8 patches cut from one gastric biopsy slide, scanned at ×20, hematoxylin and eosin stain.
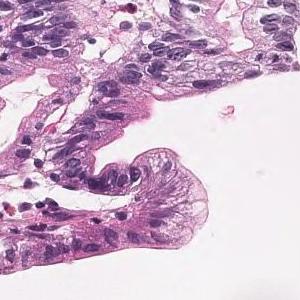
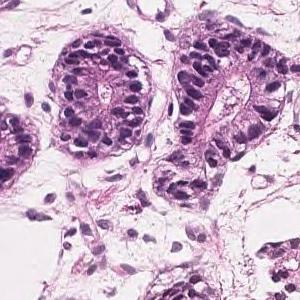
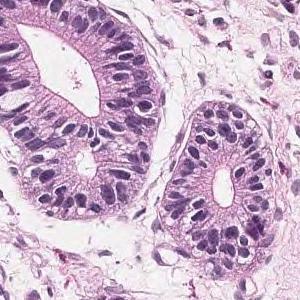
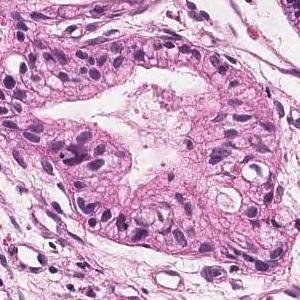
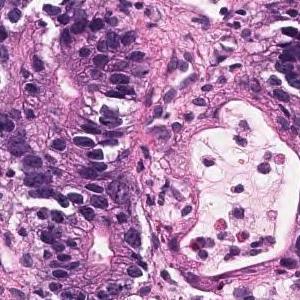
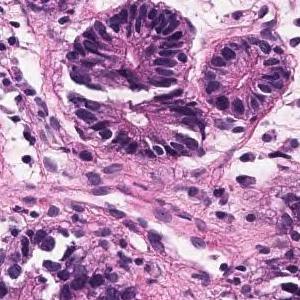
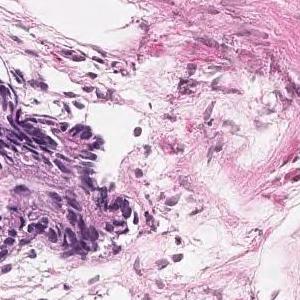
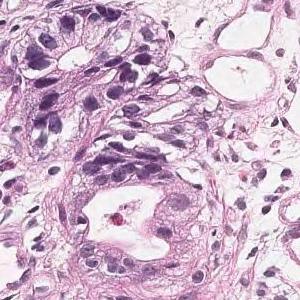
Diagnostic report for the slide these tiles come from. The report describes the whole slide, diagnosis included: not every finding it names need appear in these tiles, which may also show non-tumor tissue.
Tumor tissue in which medium to small irregular ducts infiltrate and proliferate in the submucosa can be seen in the epithelium. Well differentiated tubular adenocarcinoma
